H&E stain · 14 image tiles from a single gastric biopsy slide · each 300 × 300 pixels.
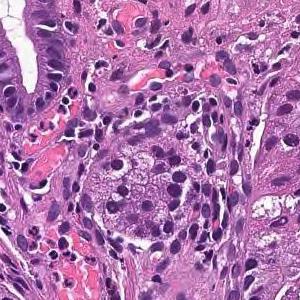
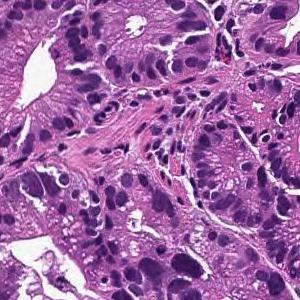
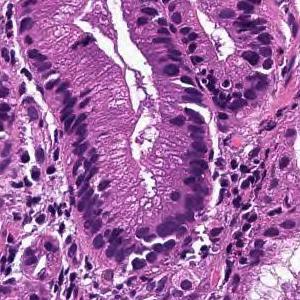
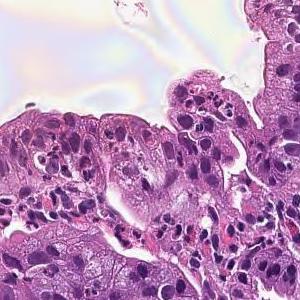
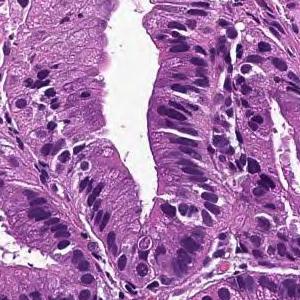
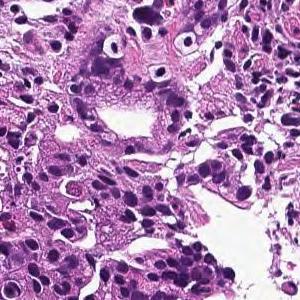
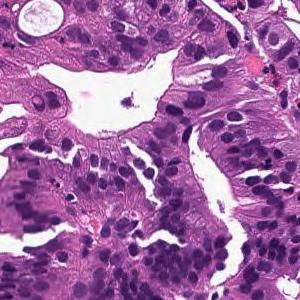
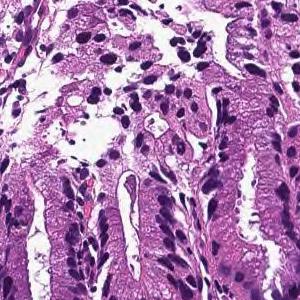
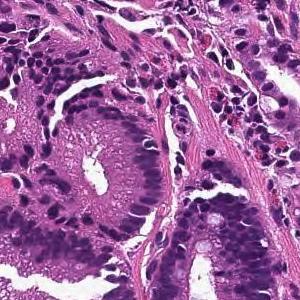
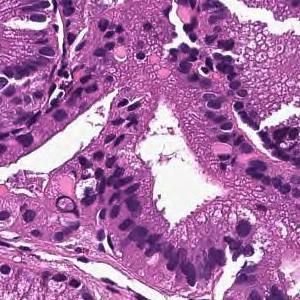
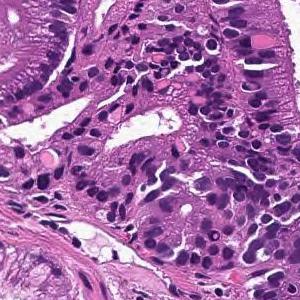
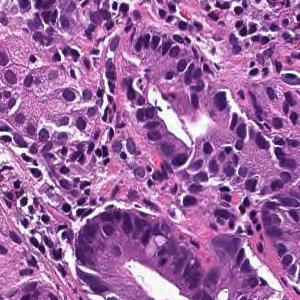
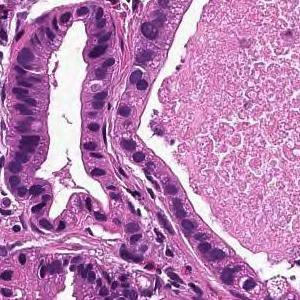
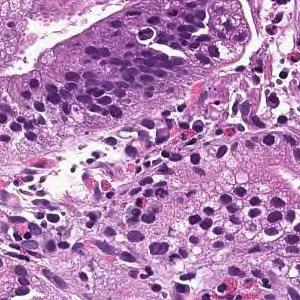
Pathology report for the slide these tiles were cut from. What the report and the diagnosis say applies to the whole slide; these tiles may miss some of the features named and may include tissue that is not tumor.
Tumor cells are large, highly columnar, large club-shaped nuclei, and are associated with chromatin aggregation. Papillary adenocarcinoma.
